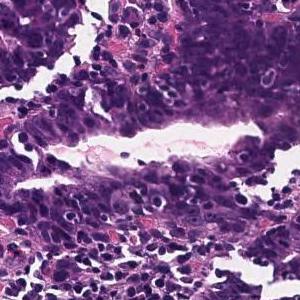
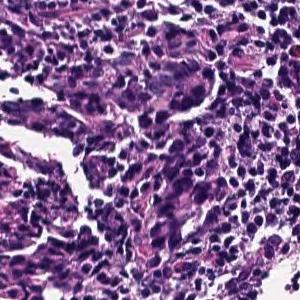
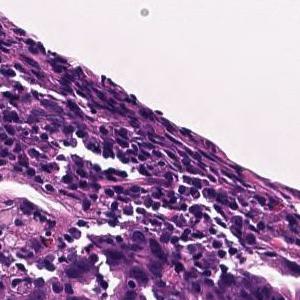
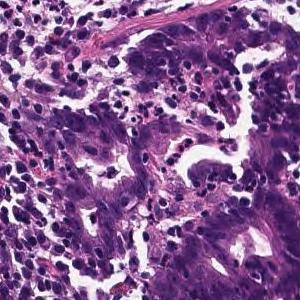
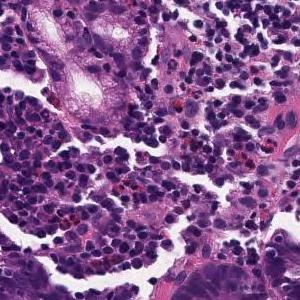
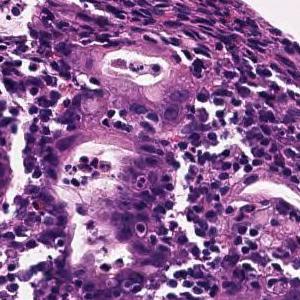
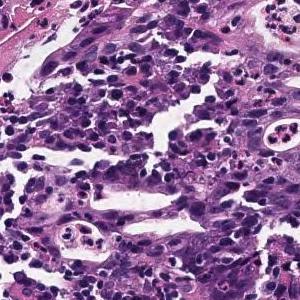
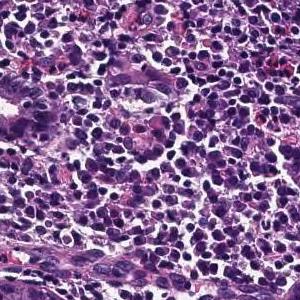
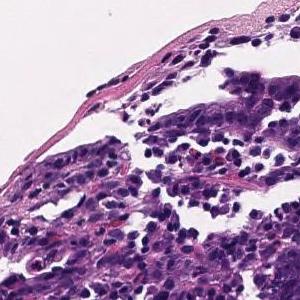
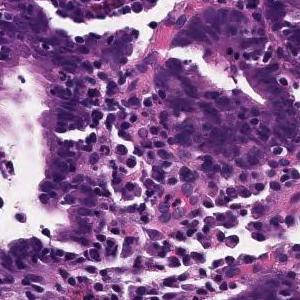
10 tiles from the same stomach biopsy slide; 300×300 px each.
Pathology report for the biopsy slide these tiles were cut from. The report and the diagnosis cover the entire slide, so not every feature they name need be visible here, and some tissue shown may not be tumor.
Tumor tissue consisting of medium-sized, cord-like or irregular glandular infiltration is observed in the superficial epithelium. Poorly differentiated adenocarcinoma, non-solid type or moderately differentiated tubular adenocarcinoma
Classified as moderately to poorly differentiated adenocarcinoma.
"Non-solid type" is a category of the Japanese Classification of Gastric Carcinoma.
